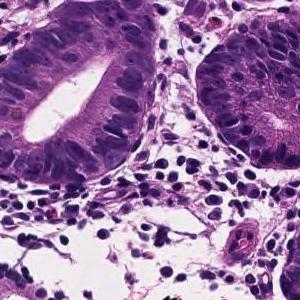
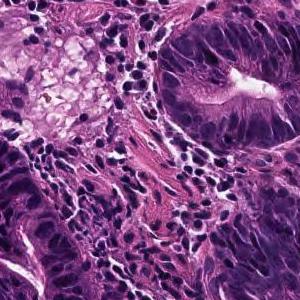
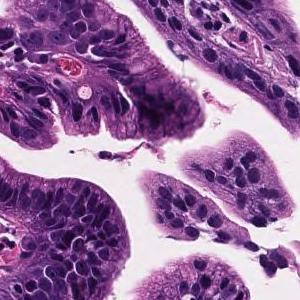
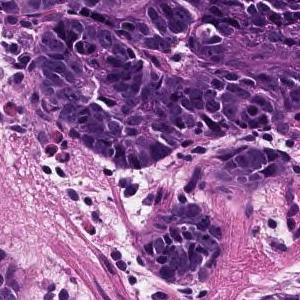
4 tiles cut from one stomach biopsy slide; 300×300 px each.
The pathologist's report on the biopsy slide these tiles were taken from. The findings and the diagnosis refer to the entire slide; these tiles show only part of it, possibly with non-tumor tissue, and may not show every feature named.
On the superficial epithelium, tumor tissue consisting of growth of medium-sized to large-sized, round or irregular glandular ducts is observed. Well differentiated tubular adenocarcinoma
